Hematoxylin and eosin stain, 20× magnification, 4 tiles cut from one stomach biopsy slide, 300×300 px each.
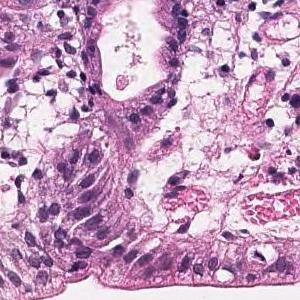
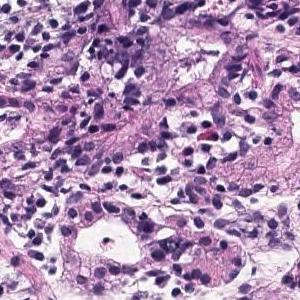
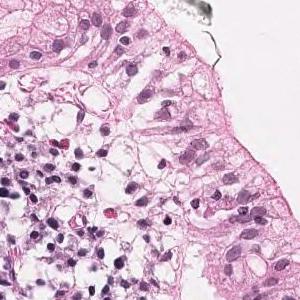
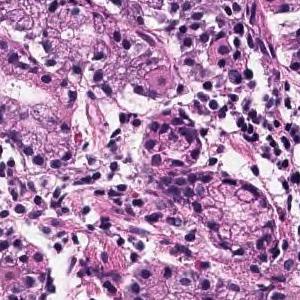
Report on the slide these tiles come from. The findings and the diagnosis refer to the entire slide; these tiles show only part of it, possibly with non-tumor tissue, and may not show every feature named.
Tumor tissue that grows and grows is observed, showing a medium-sized round or irregular duct. moderately differentiated tubular adenocarcinoma
